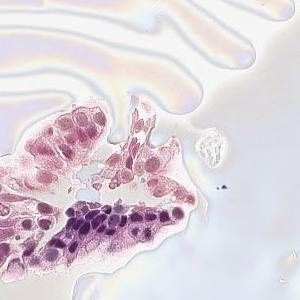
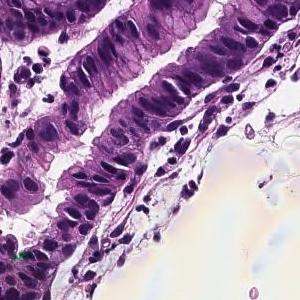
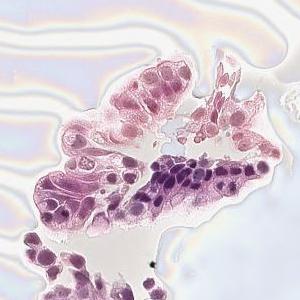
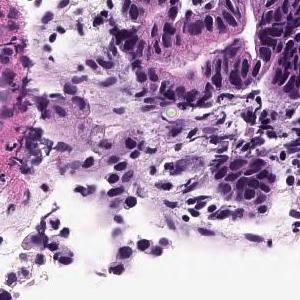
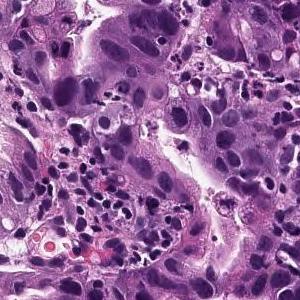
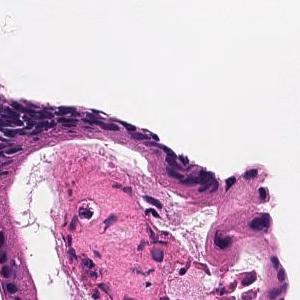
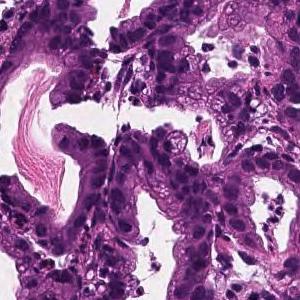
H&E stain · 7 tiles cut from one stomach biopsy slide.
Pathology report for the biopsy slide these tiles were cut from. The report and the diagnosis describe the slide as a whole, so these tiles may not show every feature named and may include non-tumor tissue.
Tumor cells are large, highly columnar, large club-shaped nuclei, and are associated with chromatin aggregation. Papillary adenocarcinoma.
